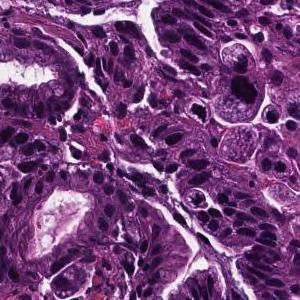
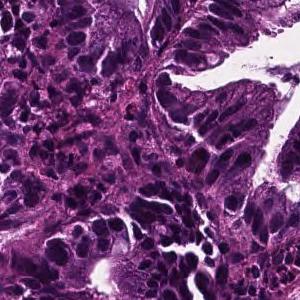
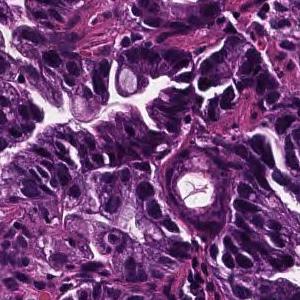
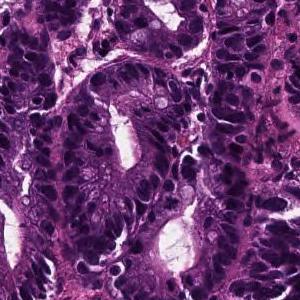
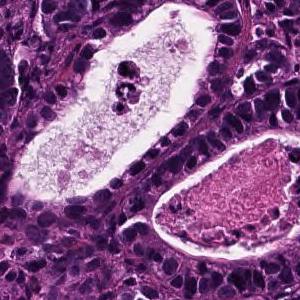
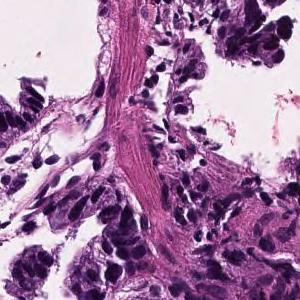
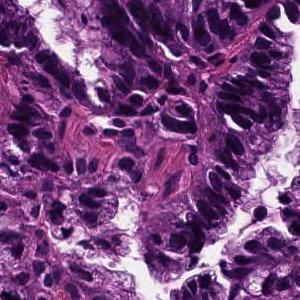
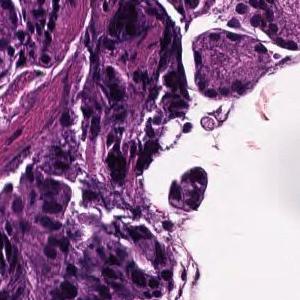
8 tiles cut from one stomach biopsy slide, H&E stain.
Report on the slide these tiles come from. What the report and the diagnosis say applies to the whole slide; these tiles may miss some of the features named and may include tissue that is not tumor.
In the superficial epithelium, tumor tissue that invades by forming medium-sized to small, irregular ducts is observed. Well differentiated tubular adenocarcinoma.
